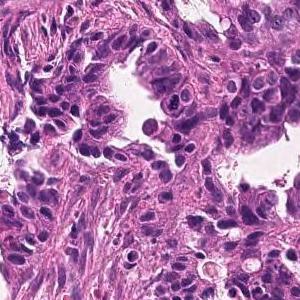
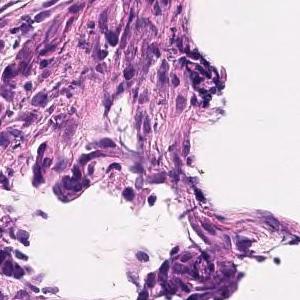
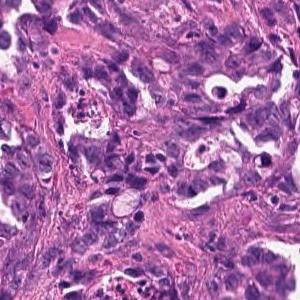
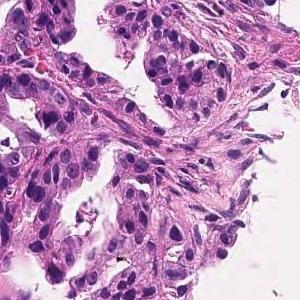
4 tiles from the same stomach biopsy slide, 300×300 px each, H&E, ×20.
Pathology report for the slide these tiles were cut from. Both the report and the diagnosis are for the whole slide: these tiles need not show every feature named, and some of the tissue shown may not be tumor.
On the superficial epithelium, tumor tissue consisting of images of small to medium-sized and irregular tubules infiltrating with irregular fusion is observed. moderately differentiated tubular adenocarcinoma
